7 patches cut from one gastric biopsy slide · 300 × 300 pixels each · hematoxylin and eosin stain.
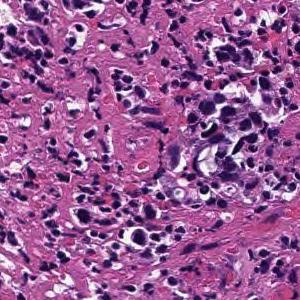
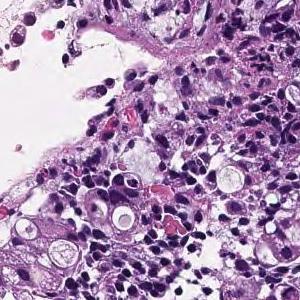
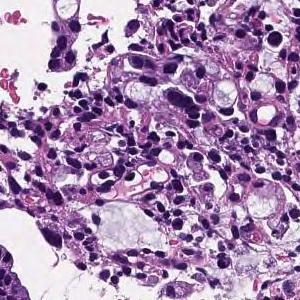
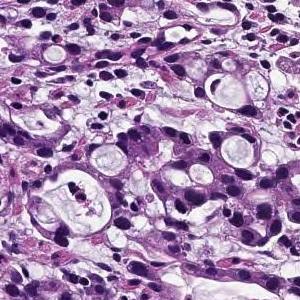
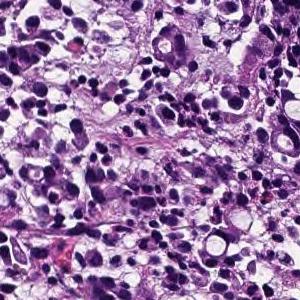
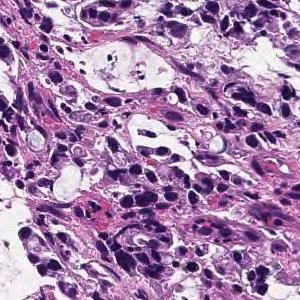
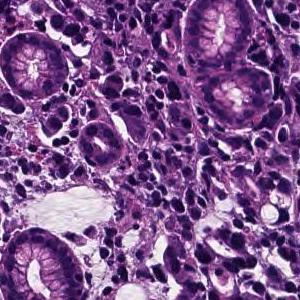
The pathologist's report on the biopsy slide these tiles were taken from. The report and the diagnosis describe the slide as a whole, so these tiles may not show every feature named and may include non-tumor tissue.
Tumor tissue consisting of cord-like or small, irregular glandular ducts fused and infiltrated is observed in the superficial epithelium. Poorly differentiated adenocarcinoma, non-solid type
The term "non-solid type" comes from the Japanese Classification of Gastric Carcinoma.
